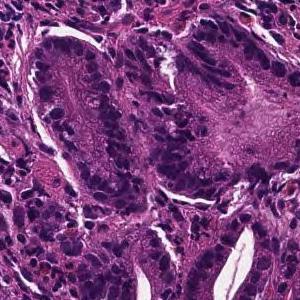
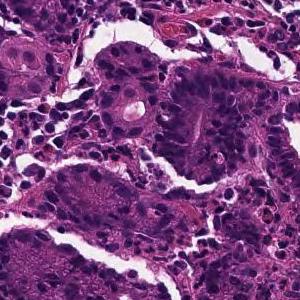
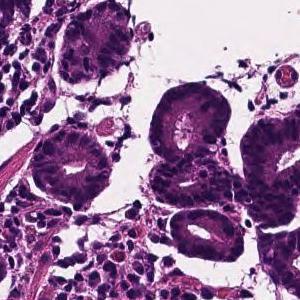
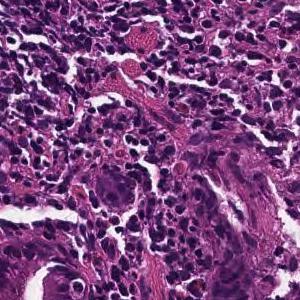
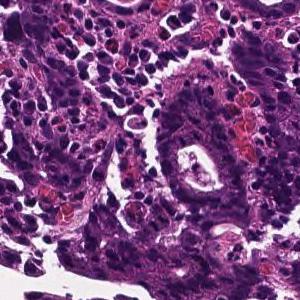
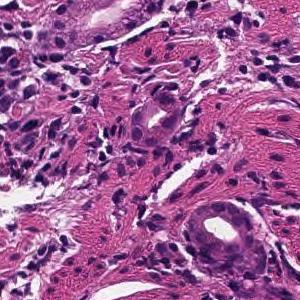
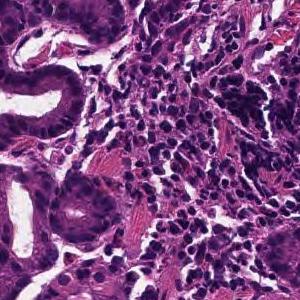
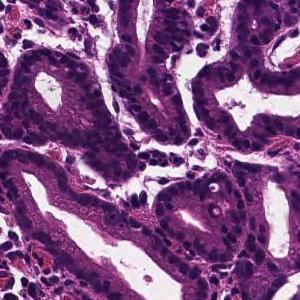
8 tiles from the same stomach biopsy slide.
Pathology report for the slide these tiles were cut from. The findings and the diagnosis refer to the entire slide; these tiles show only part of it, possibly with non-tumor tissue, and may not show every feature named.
From the superficial epithelium to the muscularis mucosae, tumor tissue consisting of medium-sized and irregular glandular ducts infiltrating is observed. Well differentiated tubular adenocarcinoma
